H&E; 5 tiles from the same stomach biopsy slide; 300 × 300 pixels each.
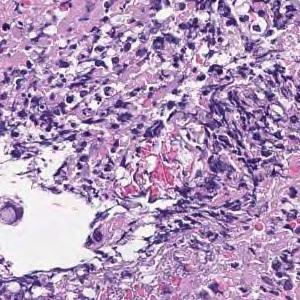
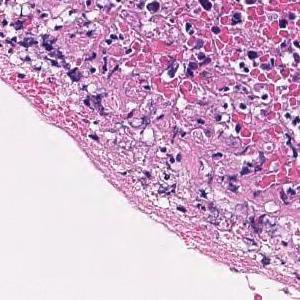
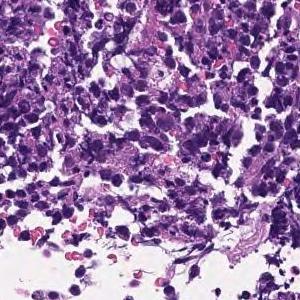
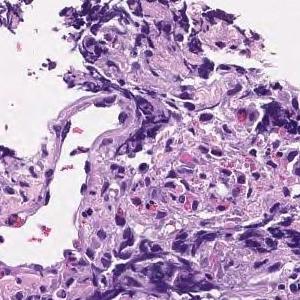
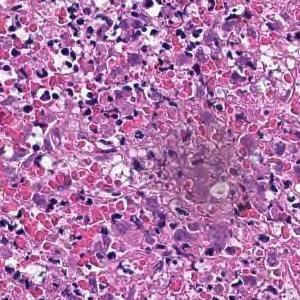
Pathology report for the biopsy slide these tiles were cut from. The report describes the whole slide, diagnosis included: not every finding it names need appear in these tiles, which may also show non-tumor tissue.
Most are composed of coagulative necrotic tissue, but some show a large sheet-like shape, and some show tumor tissue infiltrating with a small cord-like structure. Poorly differentiated adenocarcinoma, solid-type
Histological subtype: Poorly differentiated adenocarcinoma, solid type. This name comes from the Japanese Classification of Gastric Carcinoma; the WHO 2019 classification calls it tubular adenocarcinoma, poorly differentiated.
